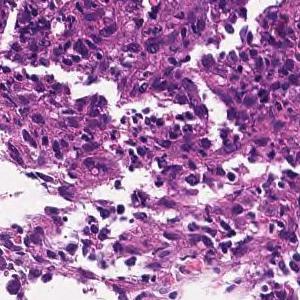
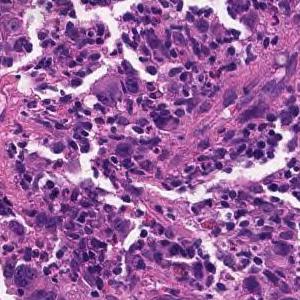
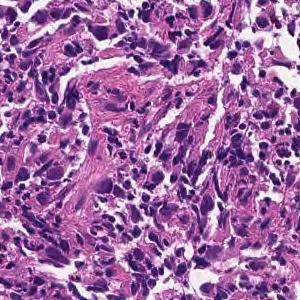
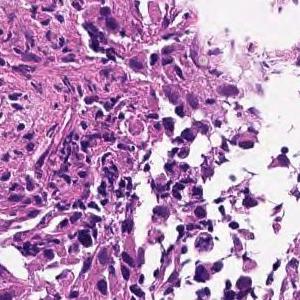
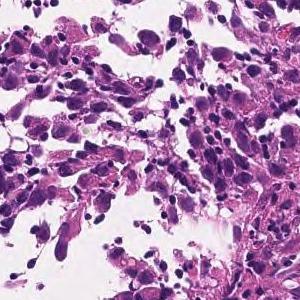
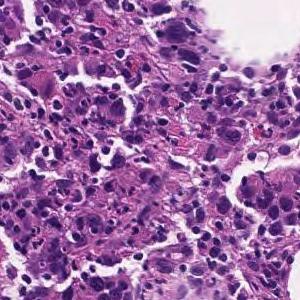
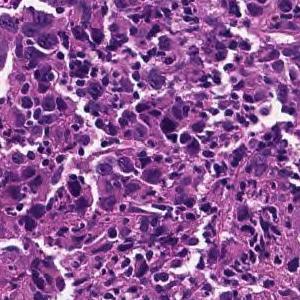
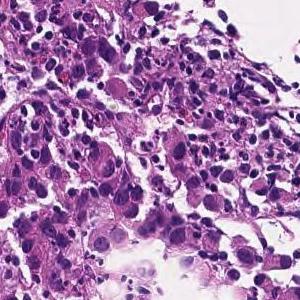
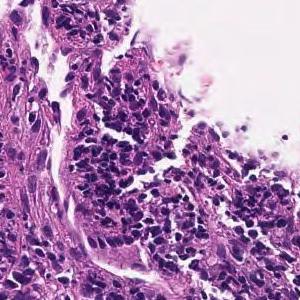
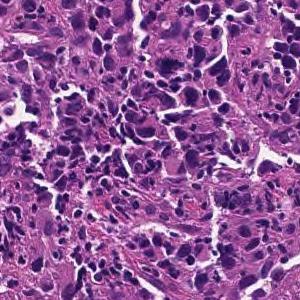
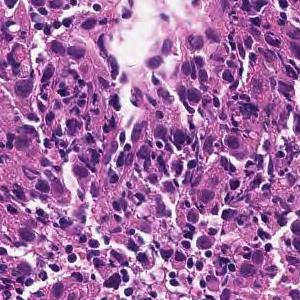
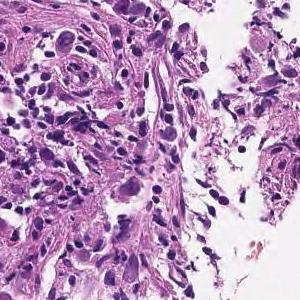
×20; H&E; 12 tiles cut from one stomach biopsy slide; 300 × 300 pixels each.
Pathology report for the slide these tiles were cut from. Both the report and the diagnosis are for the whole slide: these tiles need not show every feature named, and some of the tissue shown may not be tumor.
The superficial epithelium shows a large sheet-like shape, and some tumor tissue infiltrates with small irregular ducts. Poorly differentiated adenocarcinoma, solid-type (poorly differentiated adenocarcinoma, solid type)
Histologic type: Poorly differentiated adenocarcinoma, solid type. This name comes from the Japanese Classification of Gastric Carcinoma; the WHO 2019 classification calls it tubular adenocarcinoma, poorly differentiated.
